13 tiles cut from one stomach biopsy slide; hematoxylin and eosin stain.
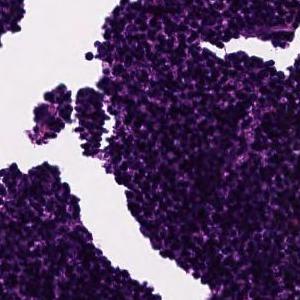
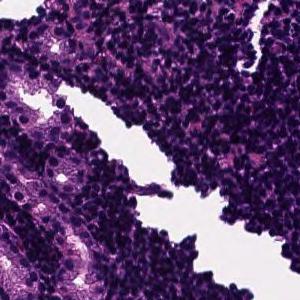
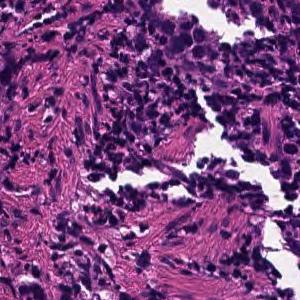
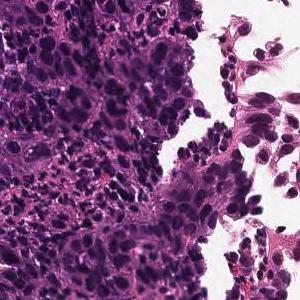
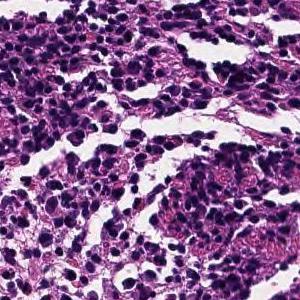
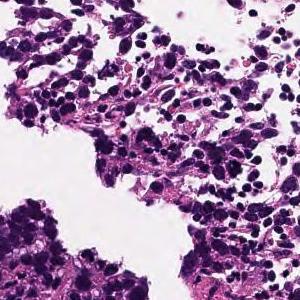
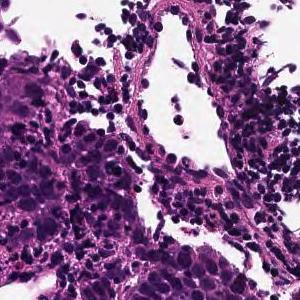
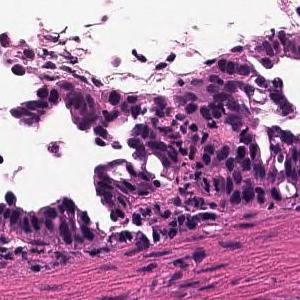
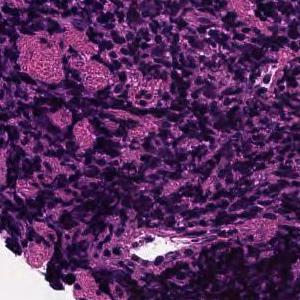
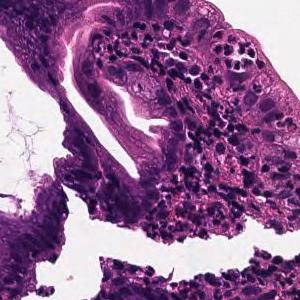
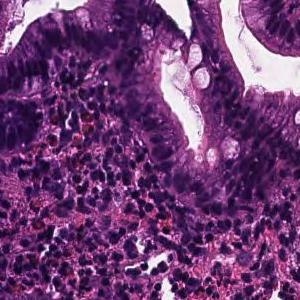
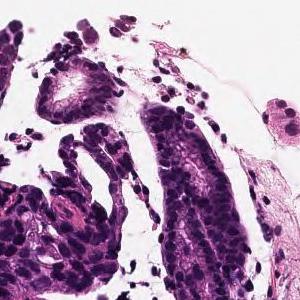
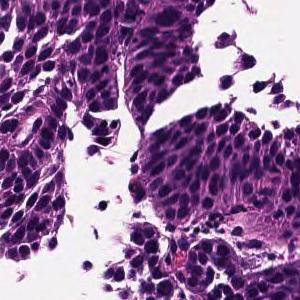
Report on the slide these tiles come from. What the report and the diagnosis say applies to the whole slide; these tiles may miss some of the features named and may include tissue that is not tumor.
Tumor tissue consisting of cord-like or small, irregular glandular ducts fused and infiltrated is observed in the superficial epithelium. Poorly differentiated adenocarcinoma, non-solid type
The non-solid type named here is a Japanese Classification of Gastric Carcinoma category.
